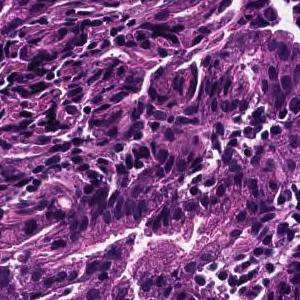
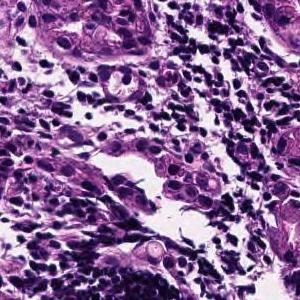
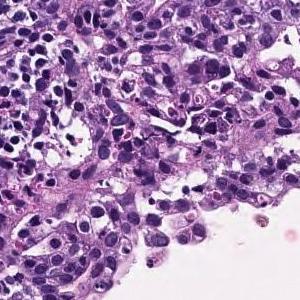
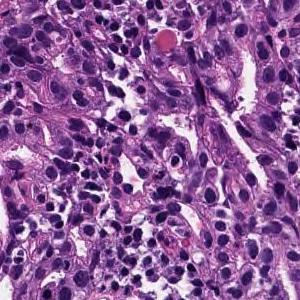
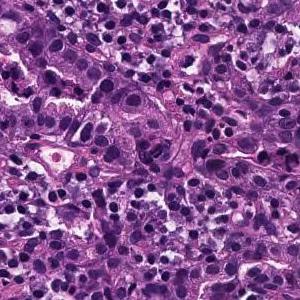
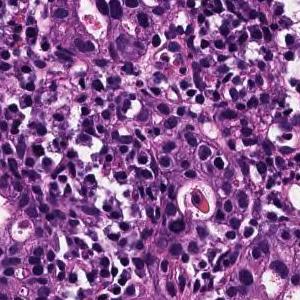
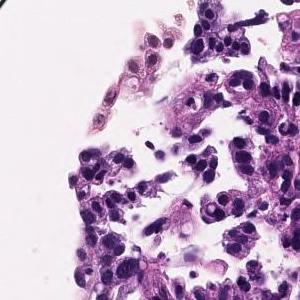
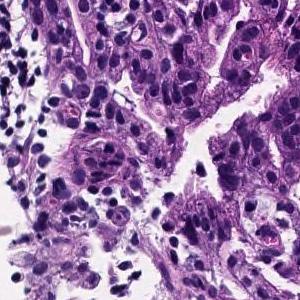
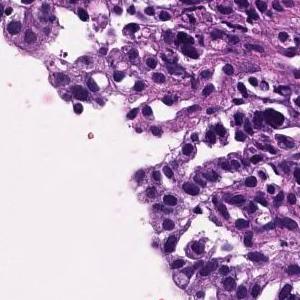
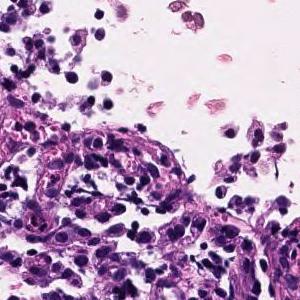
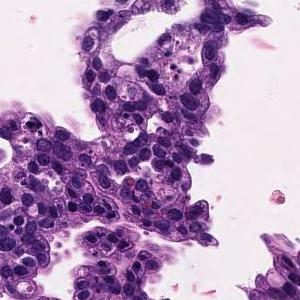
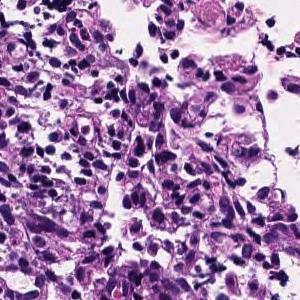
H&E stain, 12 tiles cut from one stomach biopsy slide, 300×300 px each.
Report on the slide these tiles come from. What the report and the diagnosis say applies to the whole slide; these tiles may miss some of the features named and may include tissue that is not tumor.
Medium to small, irregular glandular ducts are formed in the superficial epithelium, and in some cases, the glandular ducts are fused to show solid alveolar lesions and infiltrating tumor tissue is observed. Moderately to poorly differentiated adenocarcinoma.
